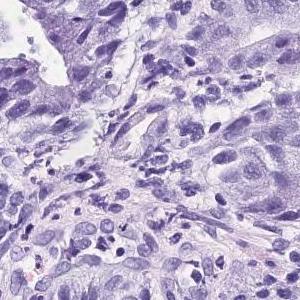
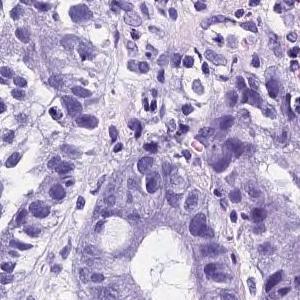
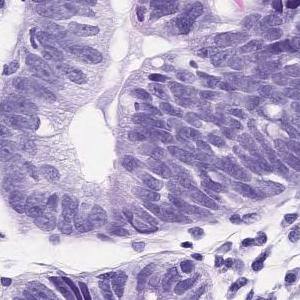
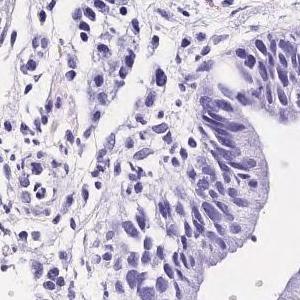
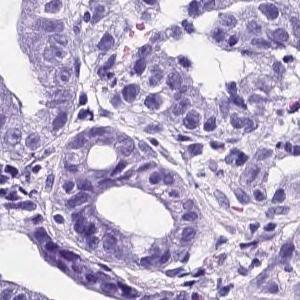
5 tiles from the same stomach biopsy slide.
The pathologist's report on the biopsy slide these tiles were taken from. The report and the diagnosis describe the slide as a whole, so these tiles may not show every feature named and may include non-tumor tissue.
Tumor tissue consisting of medium-sized and irregular ducts is observed infiltrating in the superficial epithelium. Tumor cells are highly columnar, with nuclei aligned basolaterally and polarized. Well differentiated tubular adenocarcinoma.
